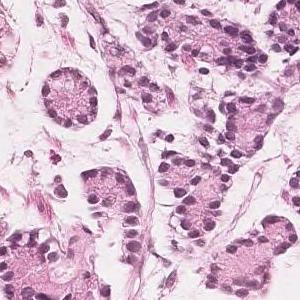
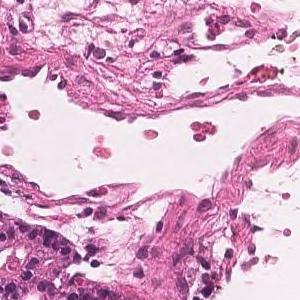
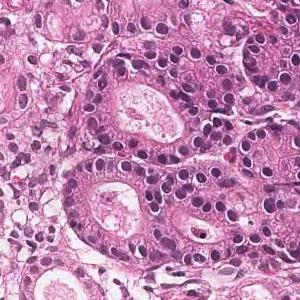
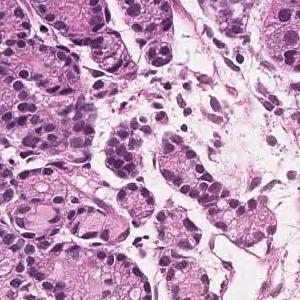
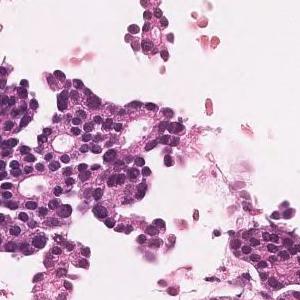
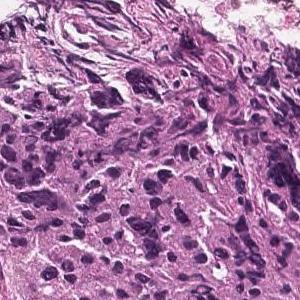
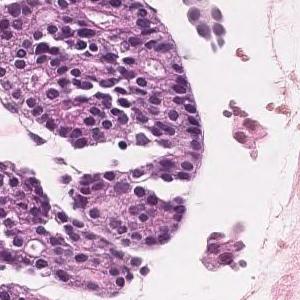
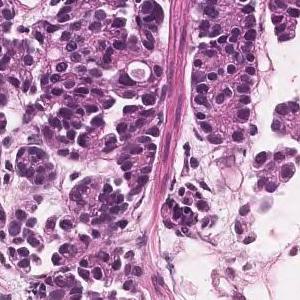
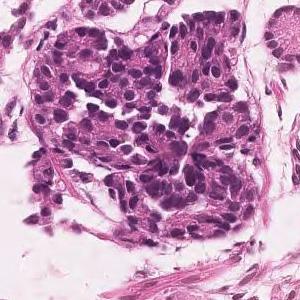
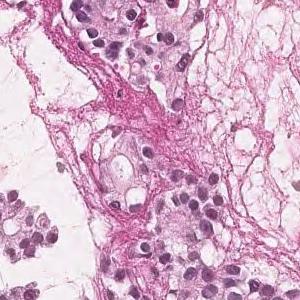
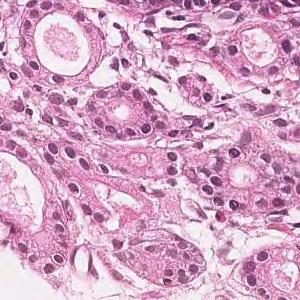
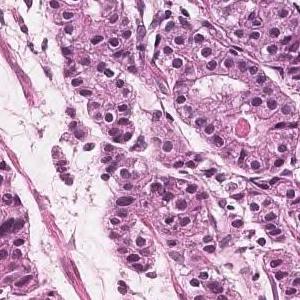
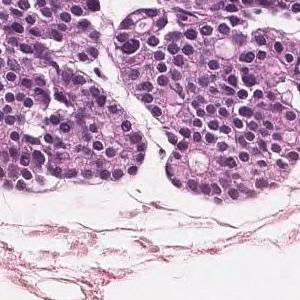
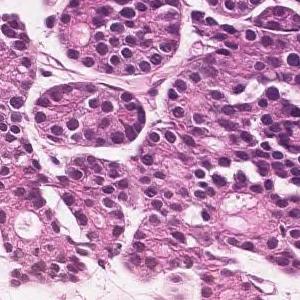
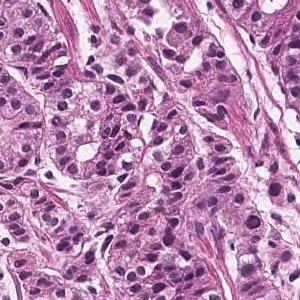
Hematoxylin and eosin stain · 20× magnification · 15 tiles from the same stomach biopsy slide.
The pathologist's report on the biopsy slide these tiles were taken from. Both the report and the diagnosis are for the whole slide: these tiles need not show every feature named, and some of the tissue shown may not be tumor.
In the superficial epithelium, tumor tissue that invades by forming medium-sized to small, irregular ducts is observed. Moderately differentiated adenocarcinoma.
Subtype: Moderately differentiated tubular adenocarcinoma.
